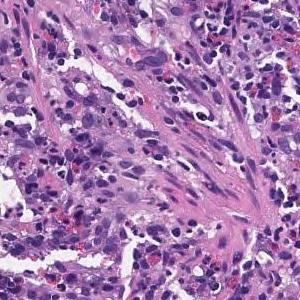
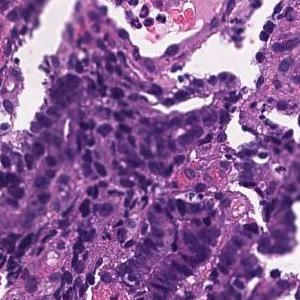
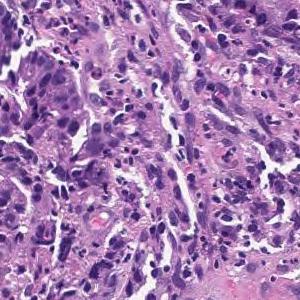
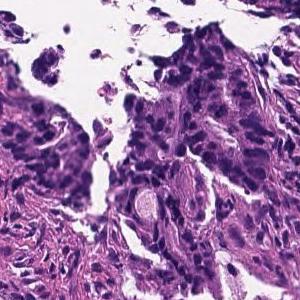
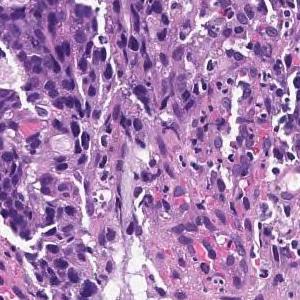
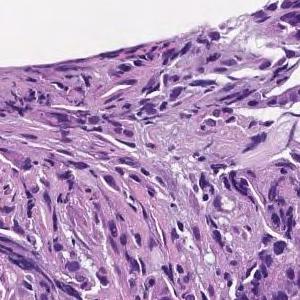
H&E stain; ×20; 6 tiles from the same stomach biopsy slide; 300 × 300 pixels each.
Report on the slide these tiles come from. The report and the diagnosis describe the slide as a whole, so these tiles may not show every feature named and may include non-tumor tissue.
On the superficial epithelium, tumor tissue consisting of large irregular glandular ducts partially fused and infiltrated is observed. Well to moderately differentiated tubular adenocarcinoma (well differentiated tubular adenocarcinoma, moderately differentiated tubular adenocarcinoma)
Histologic type: Well to moderately differentiated tubular adenocarcinoma.
